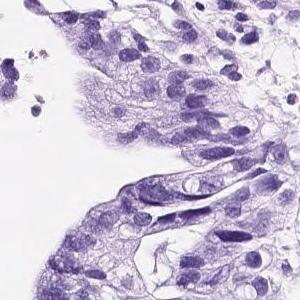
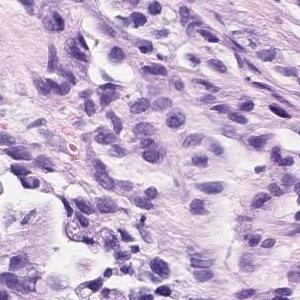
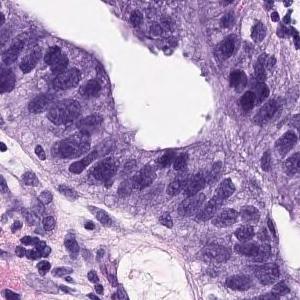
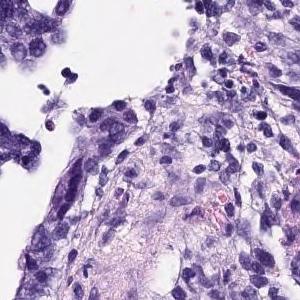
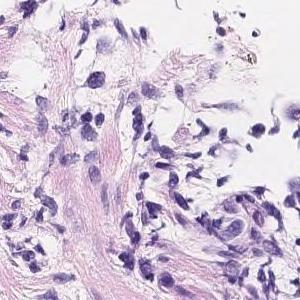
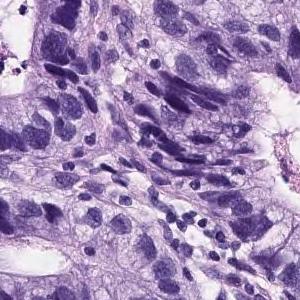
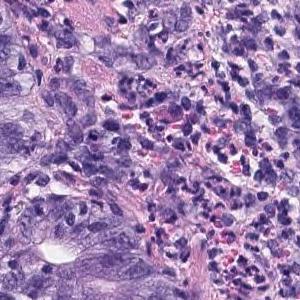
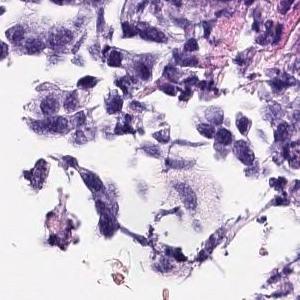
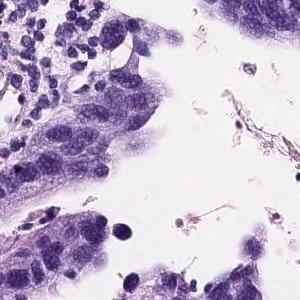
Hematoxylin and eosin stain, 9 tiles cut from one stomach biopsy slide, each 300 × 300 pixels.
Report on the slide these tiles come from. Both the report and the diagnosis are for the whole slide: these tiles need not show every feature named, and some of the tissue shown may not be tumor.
On the superficial epithelium, tumor tissue consisting of medium to small irregular tubules partially fused and proliferated is observed. moderately differentiated tubular adenocarcinoma
